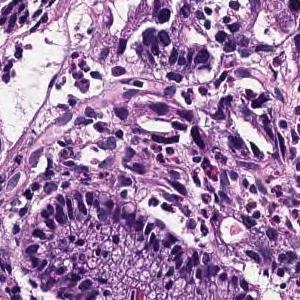
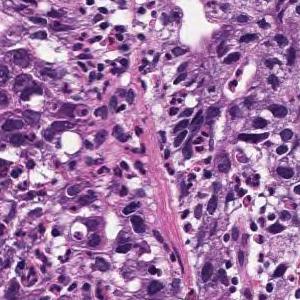
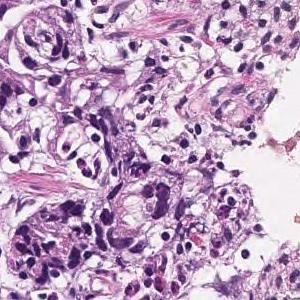
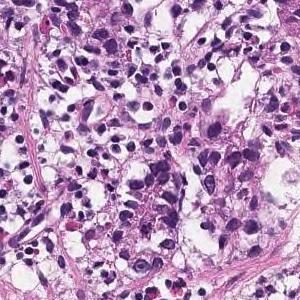
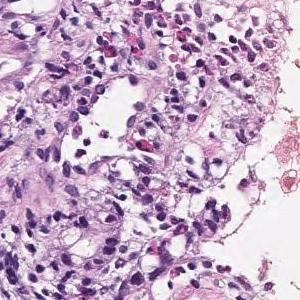
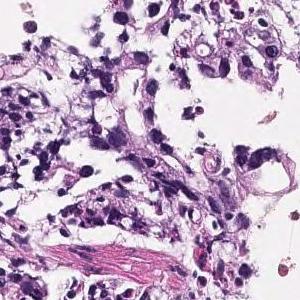
Hematoxylin and eosin stain · ×20 · 6 patches cut from one gastric biopsy slide · each 300 × 300 pixels.
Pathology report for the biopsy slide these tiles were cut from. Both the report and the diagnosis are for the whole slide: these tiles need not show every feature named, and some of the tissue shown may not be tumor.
In the superficial epithelium, tumor tissue that invades by forming medium-sized to small, irregular ducts is observed. moderately differentiated tubular adenocarcinoma.
